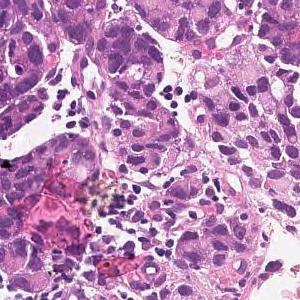
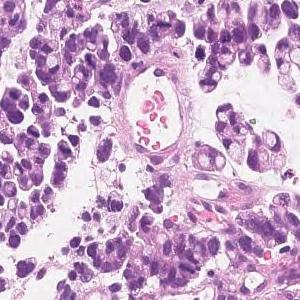
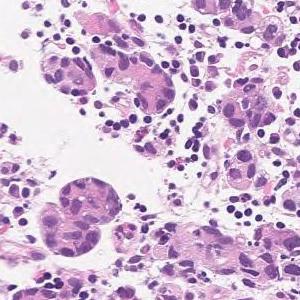
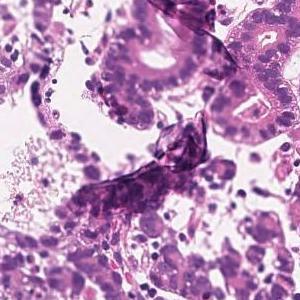
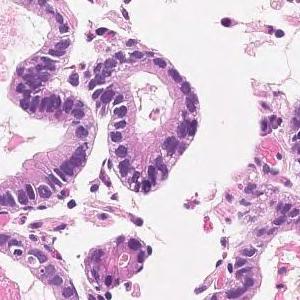
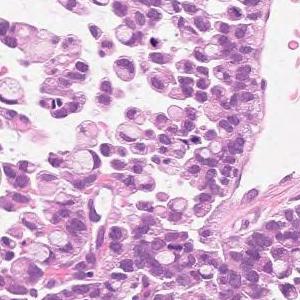
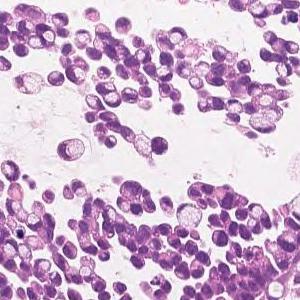
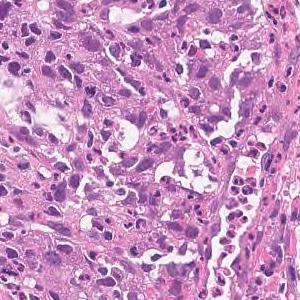
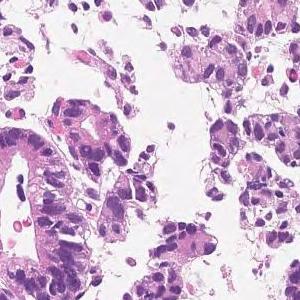
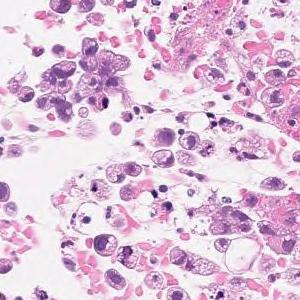
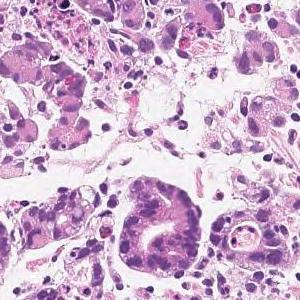
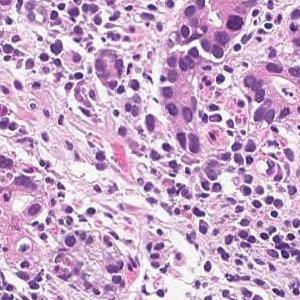
H&E, 12 patches cut from one gastric biopsy slide, 300×300 px each.
Diagnostic report for the slide these tiles come from. What the report and the diagnosis say applies to the whole slide; these tiles may miss some of the features named and may include tissue that is not tumor.
Medium to small, irregular glandular ducts are formed in the superficial epithelium, and in some cases, the glandular ducts are fused to show solid alveolar lesions and infiltrating tumor tissue is observed. Moderately to poorly differentiated adenocarcinoma.
